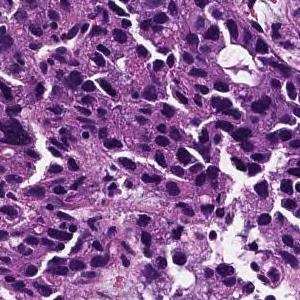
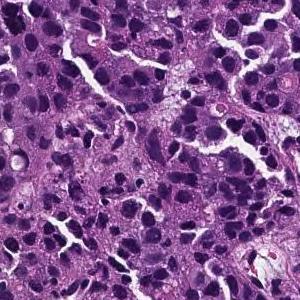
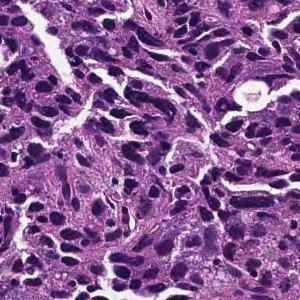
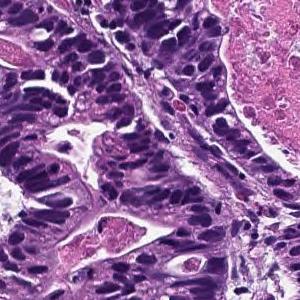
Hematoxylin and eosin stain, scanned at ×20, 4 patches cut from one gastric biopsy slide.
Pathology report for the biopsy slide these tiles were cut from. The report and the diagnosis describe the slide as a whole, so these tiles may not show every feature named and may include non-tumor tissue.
From the superficial epithelium to the muscularis mucosae, tumor tissue consisting of medium-sized and irregular glandular ducts infiltrating is observed. Well differentiated tubular adenocarcinoma
